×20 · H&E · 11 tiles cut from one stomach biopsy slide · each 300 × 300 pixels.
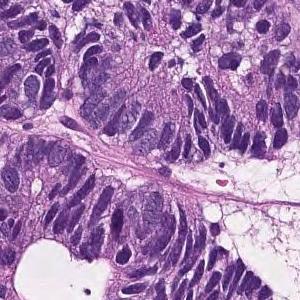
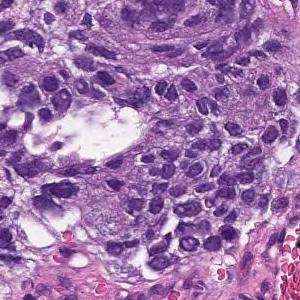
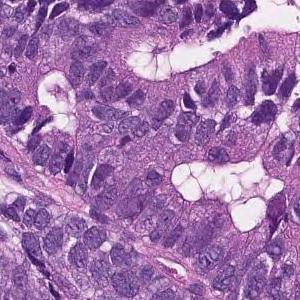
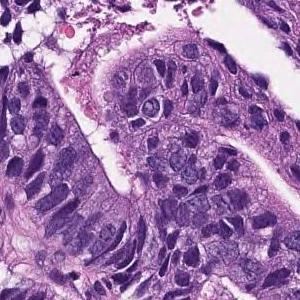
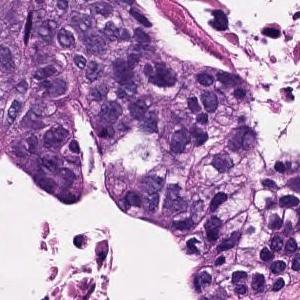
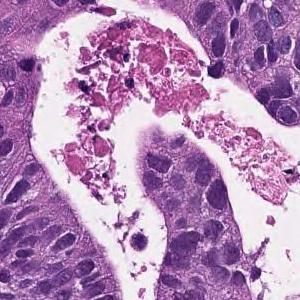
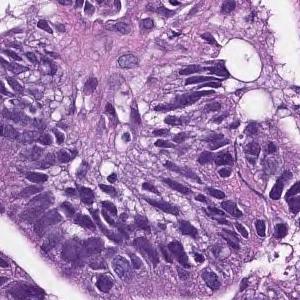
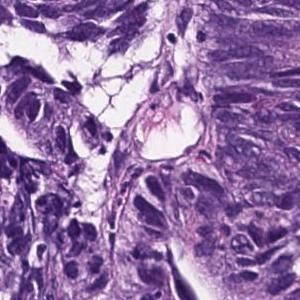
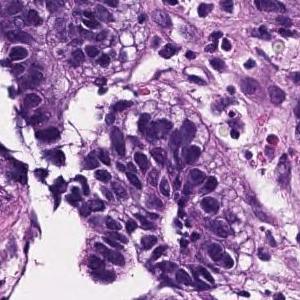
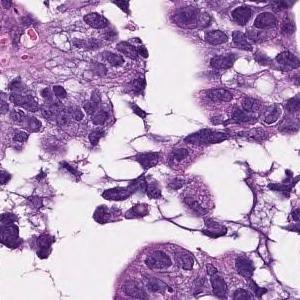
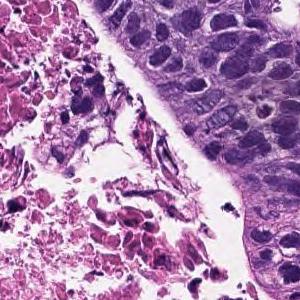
Pathology report for the slide these tiles were cut from. The findings and the diagnosis refer to the entire slide; these tiles show only part of it, possibly with non-tumor tissue, and may not show every feature named.
In the superficial epithelium, tumor tissue that invades by forming medium-sized to small, irregular ducts is observed. moderately differentiated tubular adenocarcinoma.
